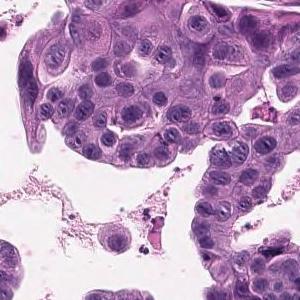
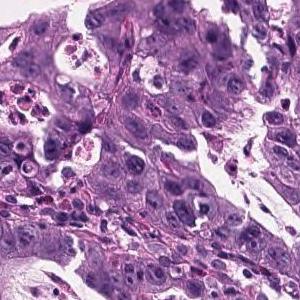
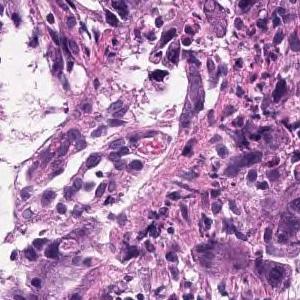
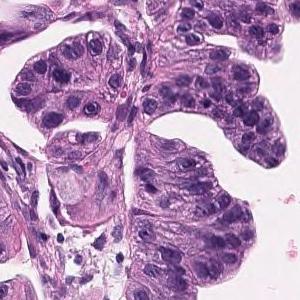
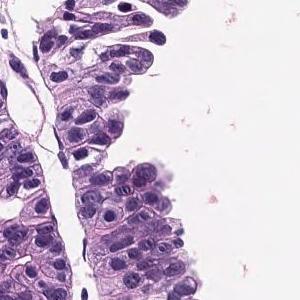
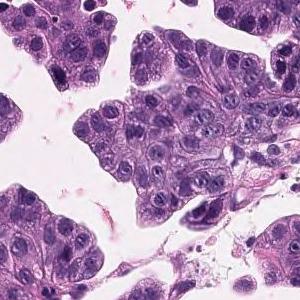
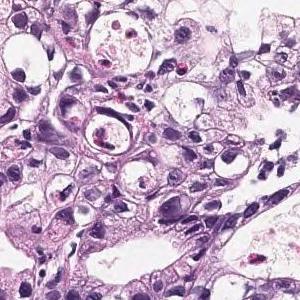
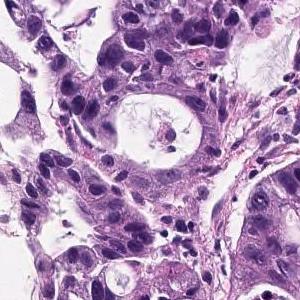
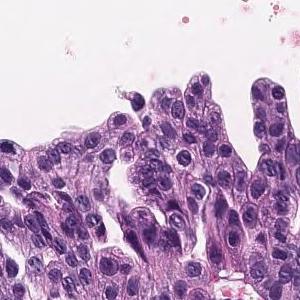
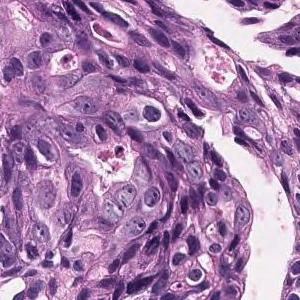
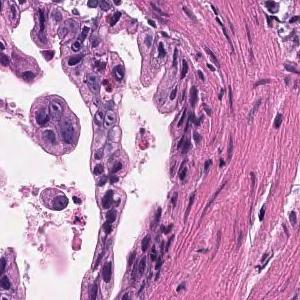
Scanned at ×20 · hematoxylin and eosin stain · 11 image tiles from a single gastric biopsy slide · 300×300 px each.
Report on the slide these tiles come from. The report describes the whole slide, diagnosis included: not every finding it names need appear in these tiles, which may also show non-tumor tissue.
Tumor cells are large, highly columnar, large club-shaped nuclei, and are associated with chromatin aggregation. Papillary adenocarcinoma.
